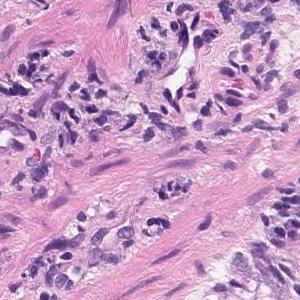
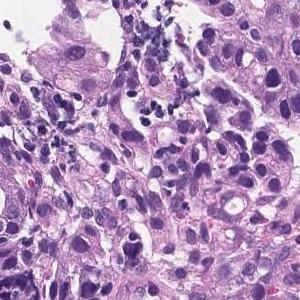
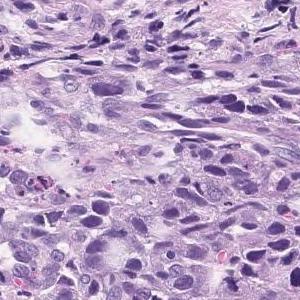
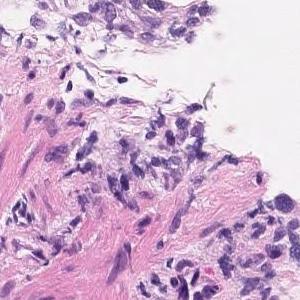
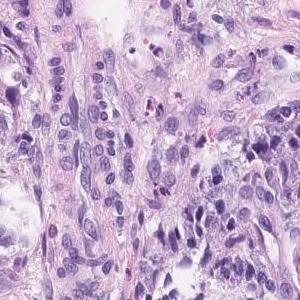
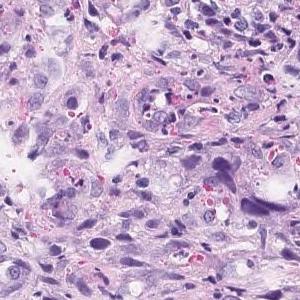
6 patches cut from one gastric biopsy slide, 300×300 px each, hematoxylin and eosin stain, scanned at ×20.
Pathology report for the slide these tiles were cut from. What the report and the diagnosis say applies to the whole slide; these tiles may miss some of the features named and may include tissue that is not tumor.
Group 5, Moderately differentiated adenocarcinoma
Subtype: Moderately differentiated tubular adenocarcinoma.
